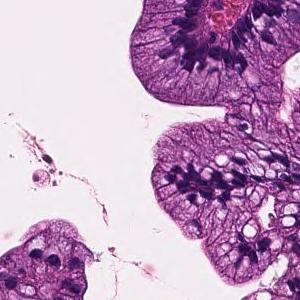
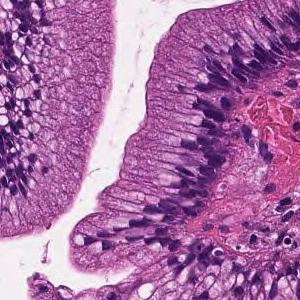
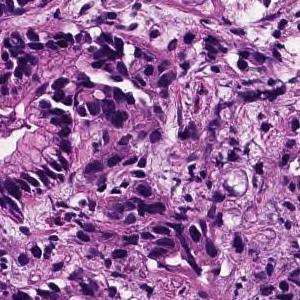
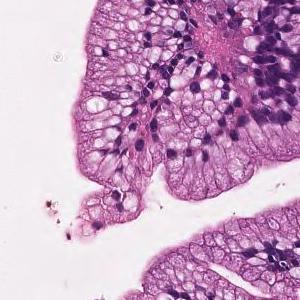
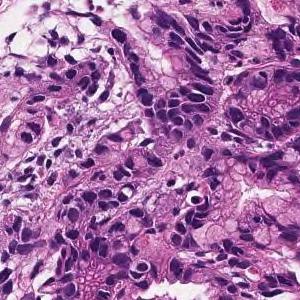
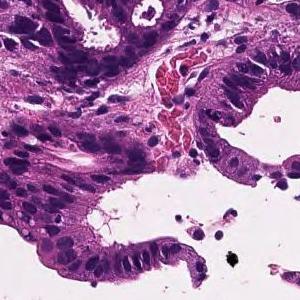
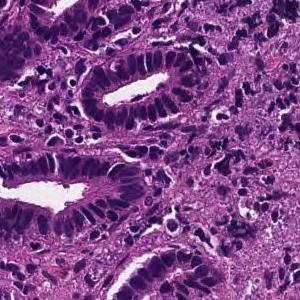
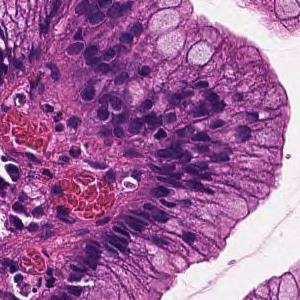
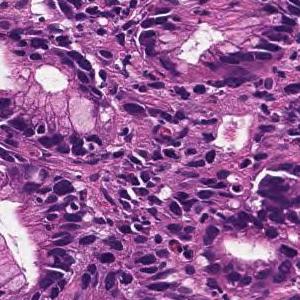
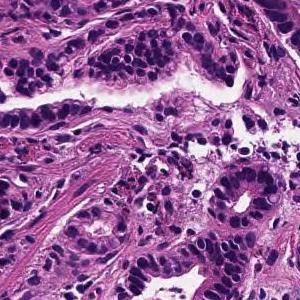
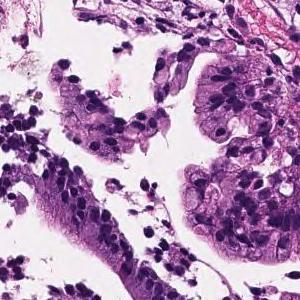
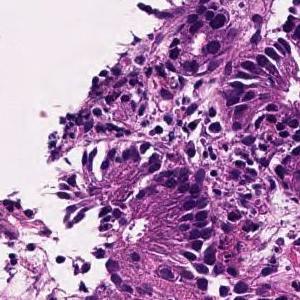
12 patches cut from one gastric biopsy slide; each 300 × 300 pixels; H&E; ×20.
Diagnostic report for the slide these tiles come from. The report describes the whole slide, diagnosis included: not every finding it names need appear in these tiles, which may also show non-tumor tissue.
On the superficial epithelium, tumor tissue consisting of medium-sized and irregular glandular ducts partially fused and infiltrated is observed. Well to moderately differentiated tubular adenocarcinoma (well differentiated tubular adenocarcinoma-moderately differentiated tubular adenocarcinoma)
Tumor subtype: well to moderately differentiated tubular adenocarcinoma.
